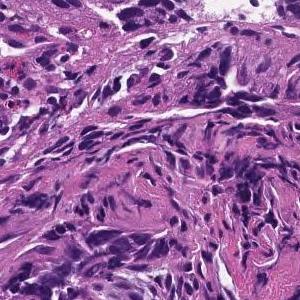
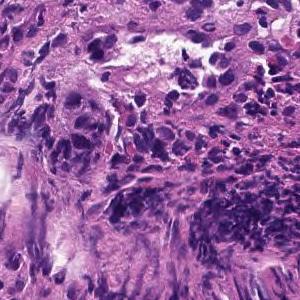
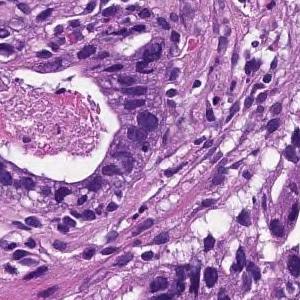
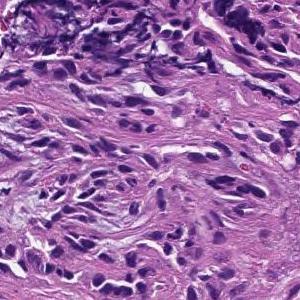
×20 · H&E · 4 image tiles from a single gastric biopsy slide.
Report on the slide these tiles come from. What the report and the diagnosis say applies to the whole slide; these tiles may miss some of the features named and may include tissue that is not tumor.
Tumor tissue consisting of large papillary structures is found in the superficial epithelium. Papillary adenocarcinoma.
